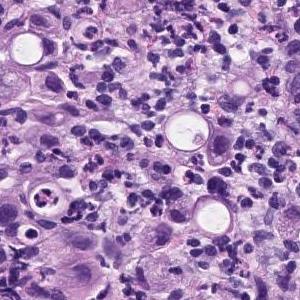
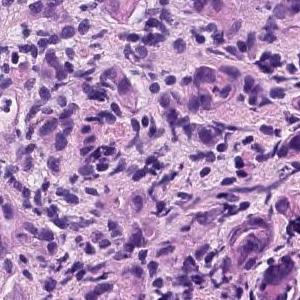
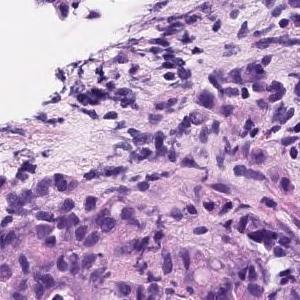
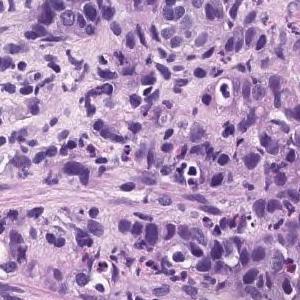
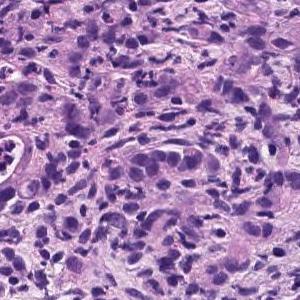
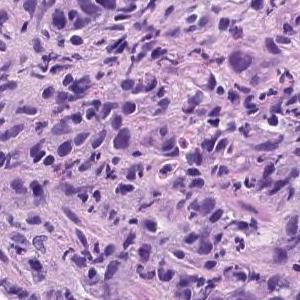
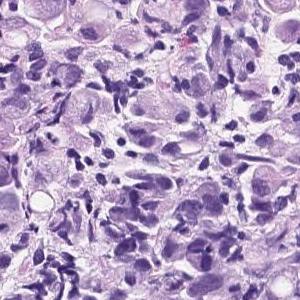
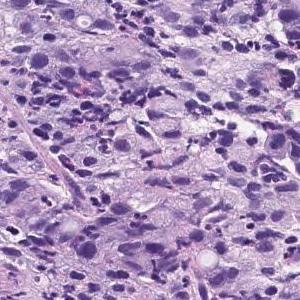
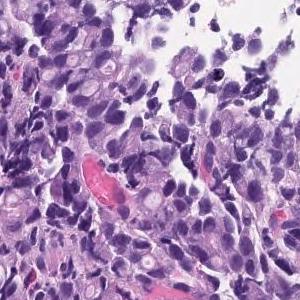
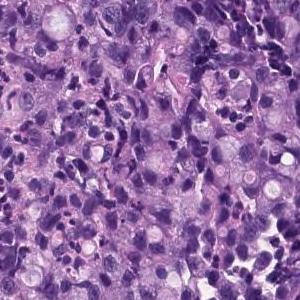
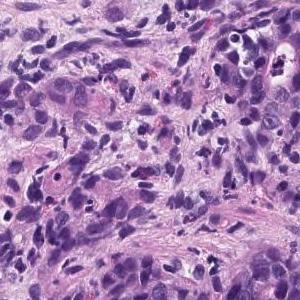
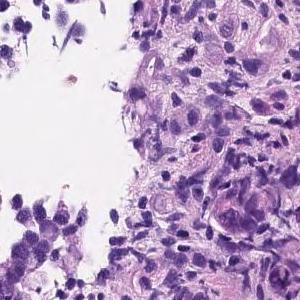
12 tiles from the same stomach biopsy slide · H&E stain.
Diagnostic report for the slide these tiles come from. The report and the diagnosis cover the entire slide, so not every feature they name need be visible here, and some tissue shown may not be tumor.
Diffusely growing signet-ring cells are found in the lamina propria. Signet ring cell carcinoma.
